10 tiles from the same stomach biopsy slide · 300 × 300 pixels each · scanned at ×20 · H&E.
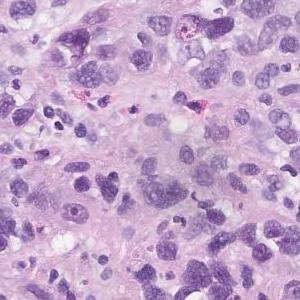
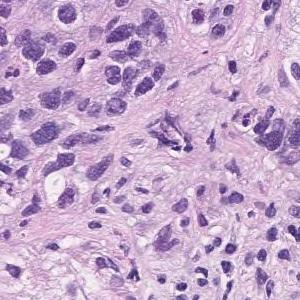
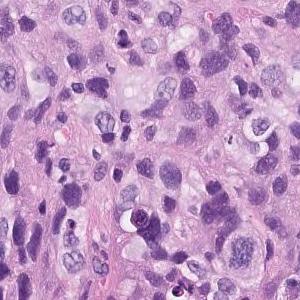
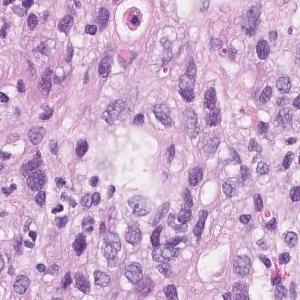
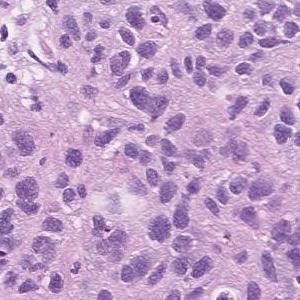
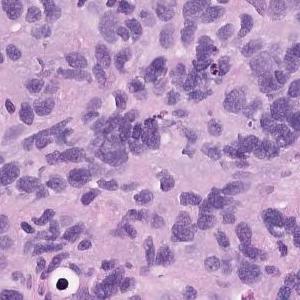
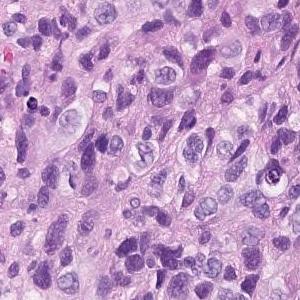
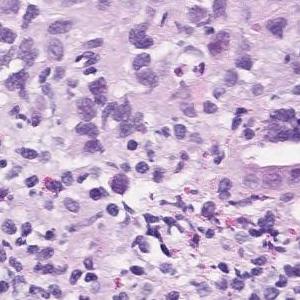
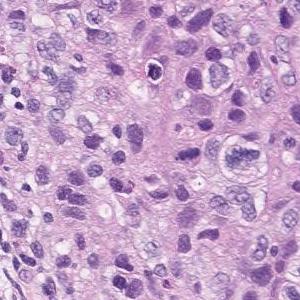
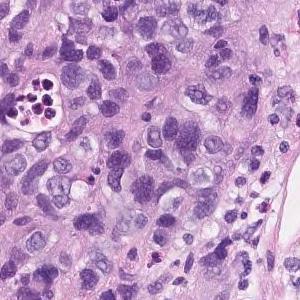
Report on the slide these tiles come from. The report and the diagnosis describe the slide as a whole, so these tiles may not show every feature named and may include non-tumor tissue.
Atypical l cells with atypical nuclei under the mucosa growing in isolation and scattered. Poorly differentiated adenocarcinoma (poorly differentiated adenocarcinoma, non-solid type)
Histological subtype: Poorly differentiated adenocarcinoma, non-solid type.
The non-solid type named here is a Japanese Classification of Gastric Carcinoma category.
